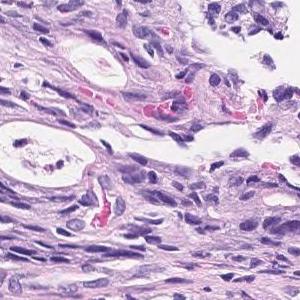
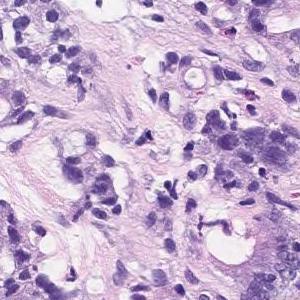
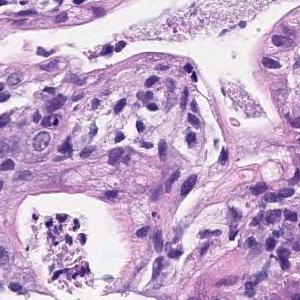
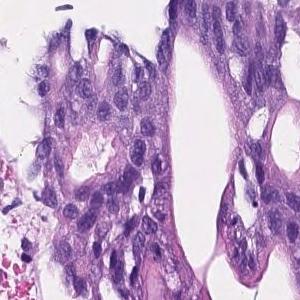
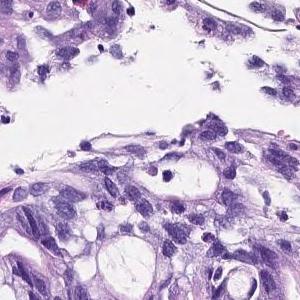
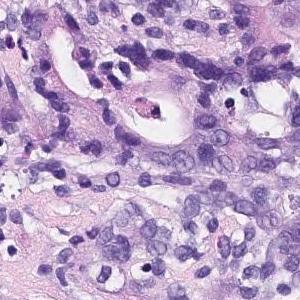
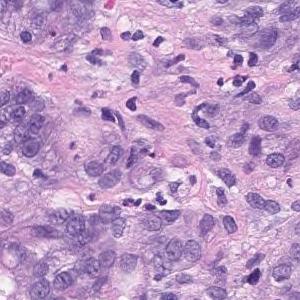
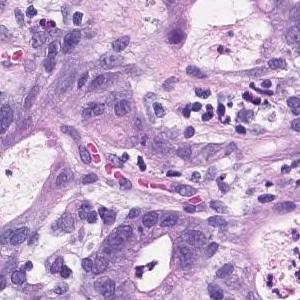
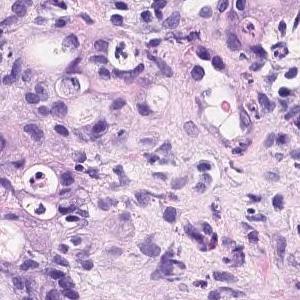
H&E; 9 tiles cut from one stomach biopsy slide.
Pathology report for the slide these tiles were cut from. The findings and the diagnosis refer to the entire slide; these tiles show only part of it, possibly with non-tumor tissue, and may not show every feature named.
Irregularly fused atypical ducts proliferating while replacing existing ducts was observed. moderately differentiated tubular adenocarcinoma
